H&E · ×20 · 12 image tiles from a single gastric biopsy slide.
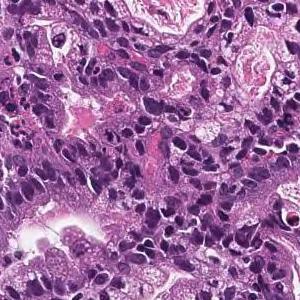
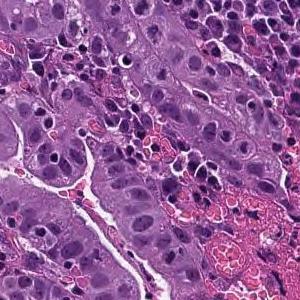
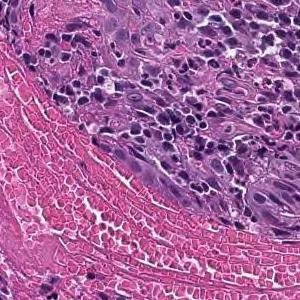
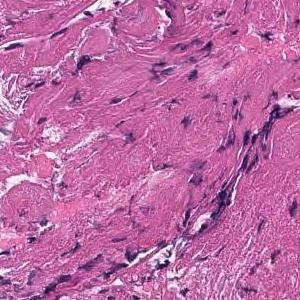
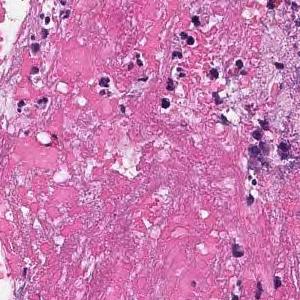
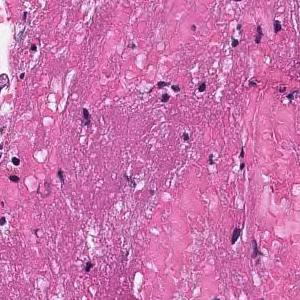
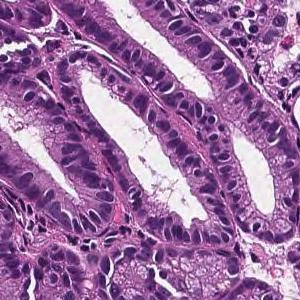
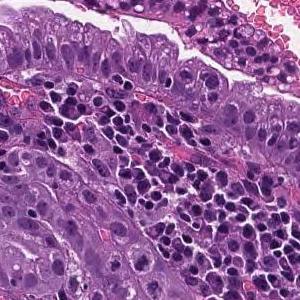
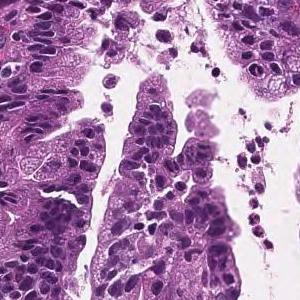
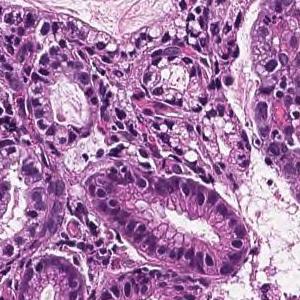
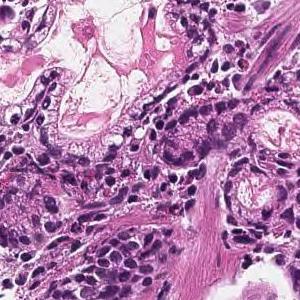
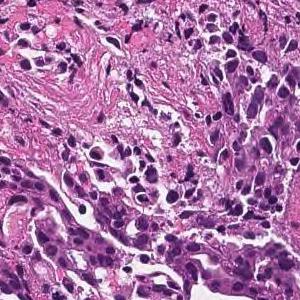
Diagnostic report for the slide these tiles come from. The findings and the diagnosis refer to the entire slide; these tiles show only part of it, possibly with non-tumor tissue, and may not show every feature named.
On the superficial epithelium, tumor tissue that infiltrates by forming medium-sized papillary or small irregular ducts is observed. Papillary adenocarcinoma
